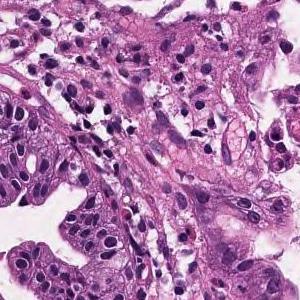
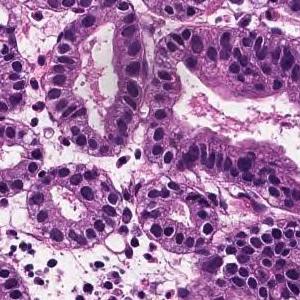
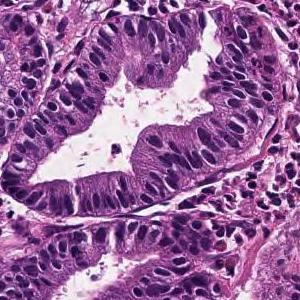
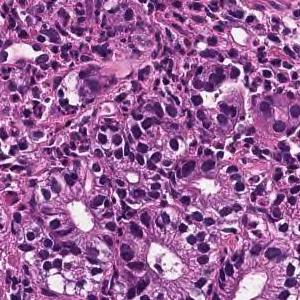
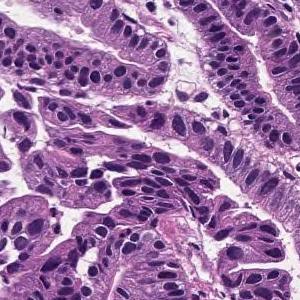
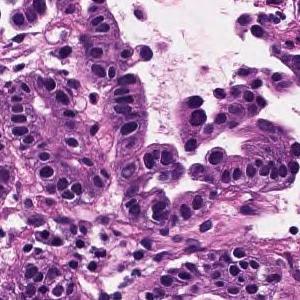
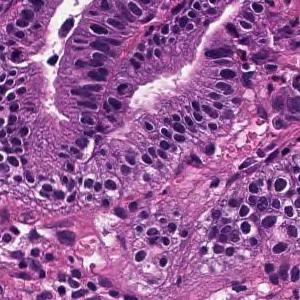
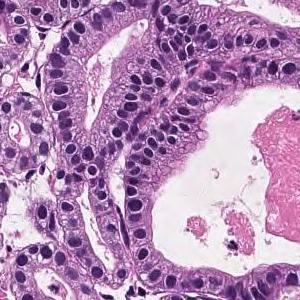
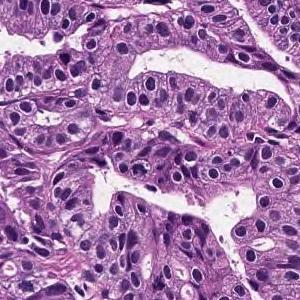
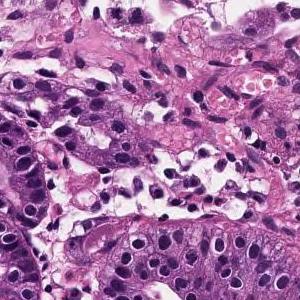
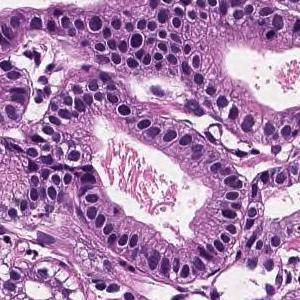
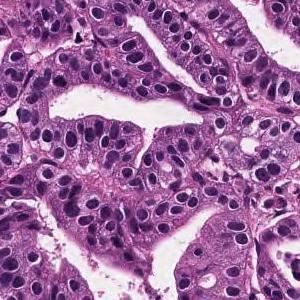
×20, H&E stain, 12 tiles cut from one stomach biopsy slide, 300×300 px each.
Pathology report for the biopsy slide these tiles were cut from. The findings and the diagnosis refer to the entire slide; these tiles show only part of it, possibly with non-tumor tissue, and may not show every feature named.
On the superficial epithelium, tumor tissue that infiltrates by forming medium-sized round or small irregular ducts is observed. Papillary adenocarcinoma
